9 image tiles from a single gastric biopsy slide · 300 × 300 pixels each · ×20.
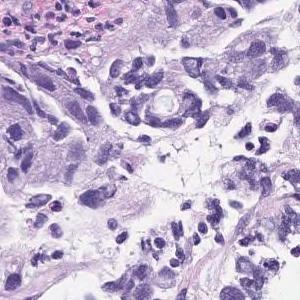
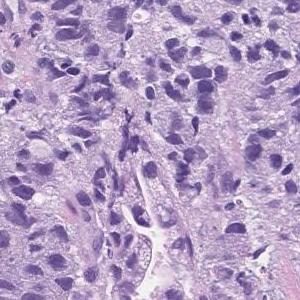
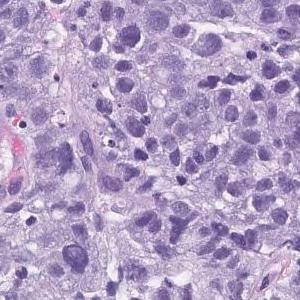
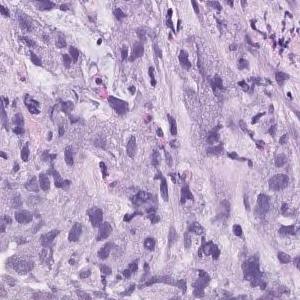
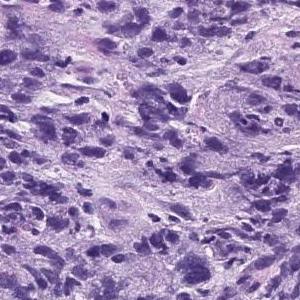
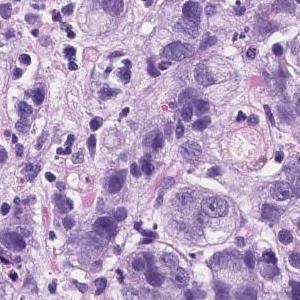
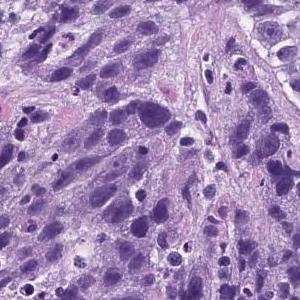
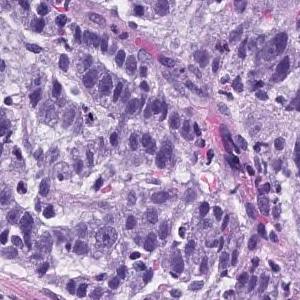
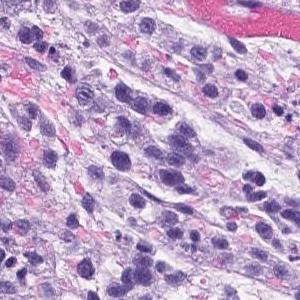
Diagnostic report for the slide these tiles come from. The report describes the whole slide, diagnosis included: not every finding it names need appear in these tiles, which may also show non-tumor tissue.
Atypical l cells with atypical nuclei forming solid vesicles or small irregular atypical ducts that proliferate in a complex manner. poorly differentiated adenocarcinoma, solid type, moderately differentiated tubular adenocarcinoma
"Solid type" is a category of the Japanese Classification of Gastric Carcinoma; in the WHO 2019 classification it is tubular adenocarcinoma, poorly differentiated.
